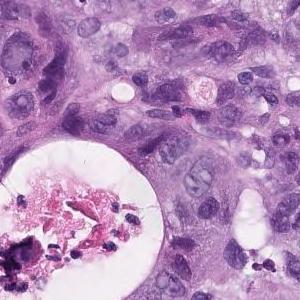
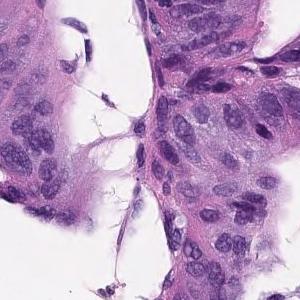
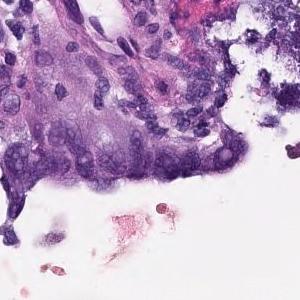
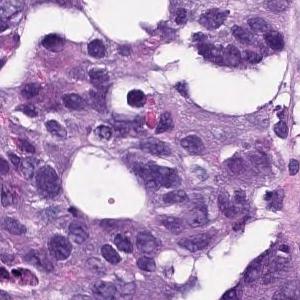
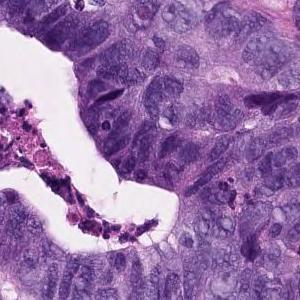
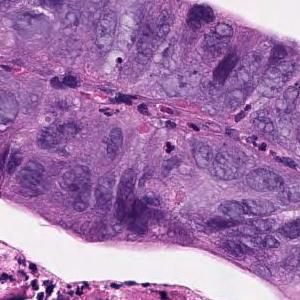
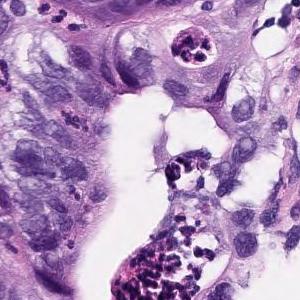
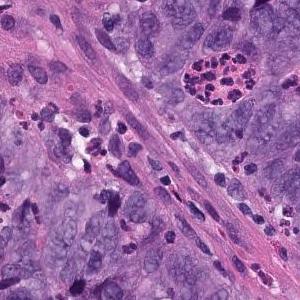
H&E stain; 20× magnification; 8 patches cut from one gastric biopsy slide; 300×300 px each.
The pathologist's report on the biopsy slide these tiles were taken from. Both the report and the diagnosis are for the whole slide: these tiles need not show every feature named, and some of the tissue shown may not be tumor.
In the superficial epithelium, tumor tissue that invades by forming medium-sized to small, irregular ducts is observed. Moderately differentiated adenocarcinoma.
Histologic type: Moderately differentiated tubular adenocarcinoma.
